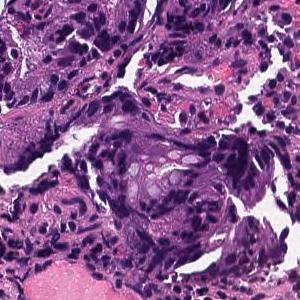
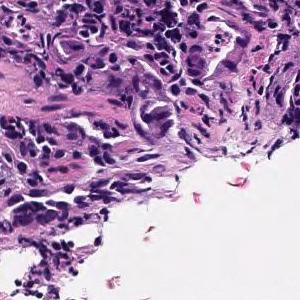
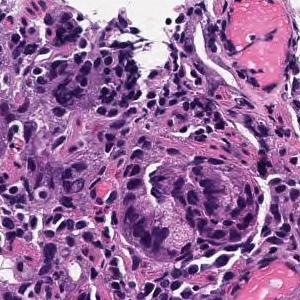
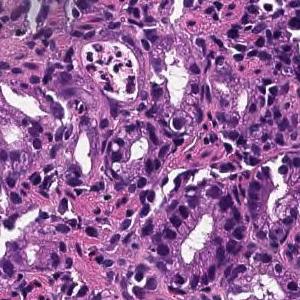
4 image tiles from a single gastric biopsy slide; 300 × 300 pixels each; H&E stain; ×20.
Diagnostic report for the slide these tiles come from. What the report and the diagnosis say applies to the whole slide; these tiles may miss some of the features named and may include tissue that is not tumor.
In the superficial epithelium, tumor tissue that invades by forming medium-sized to small, irregular ducts is observed. moderately differentiated tubular adenocarcinoma.
